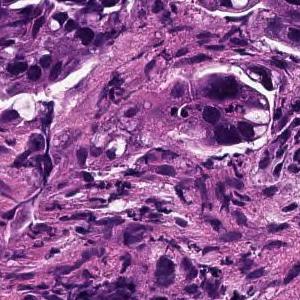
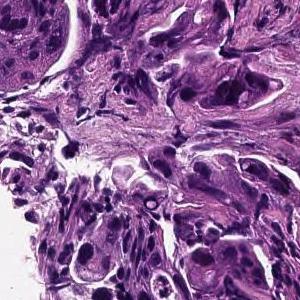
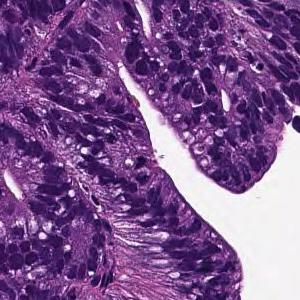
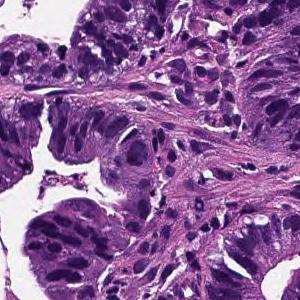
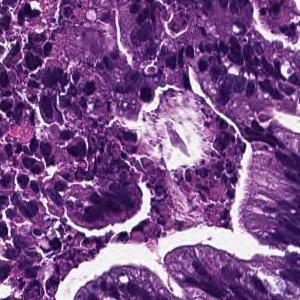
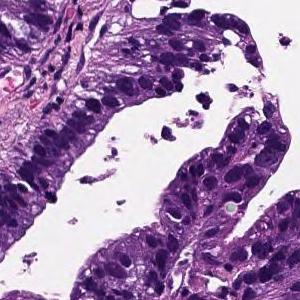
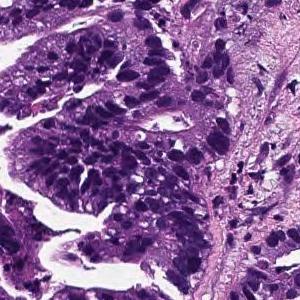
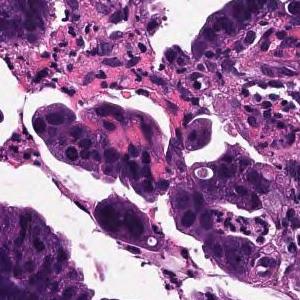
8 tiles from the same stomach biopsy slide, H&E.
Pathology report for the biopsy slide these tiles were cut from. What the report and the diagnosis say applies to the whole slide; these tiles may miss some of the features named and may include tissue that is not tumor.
Tumor cells are large, highly columnar, large club-shaped nuclei, and are associated with chromatin aggregation. Papillary adenocarcinoma.
